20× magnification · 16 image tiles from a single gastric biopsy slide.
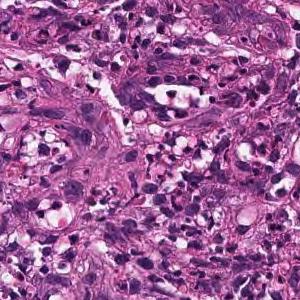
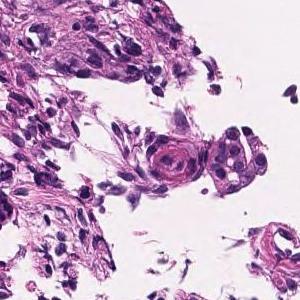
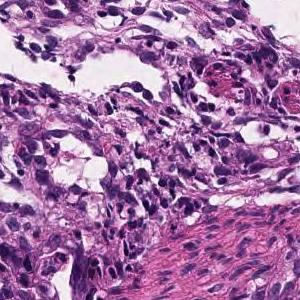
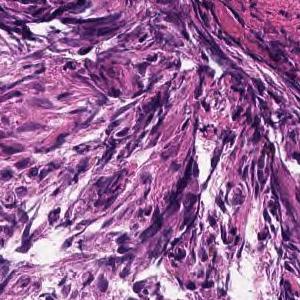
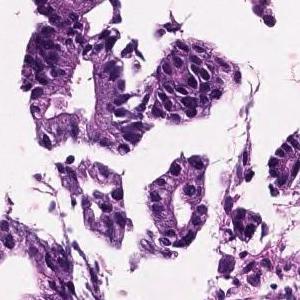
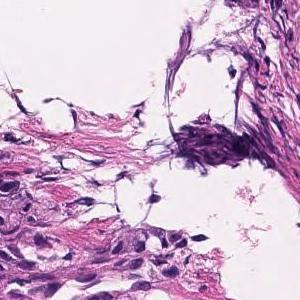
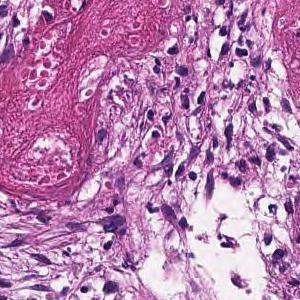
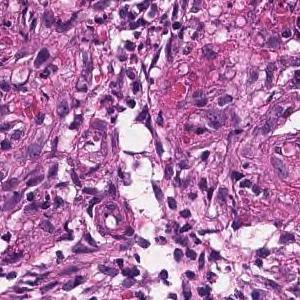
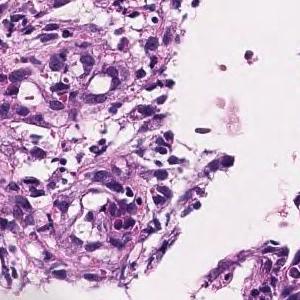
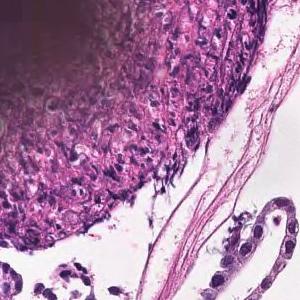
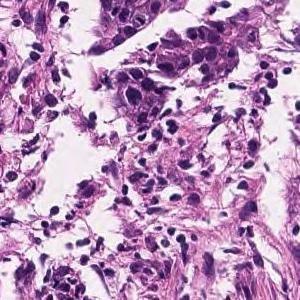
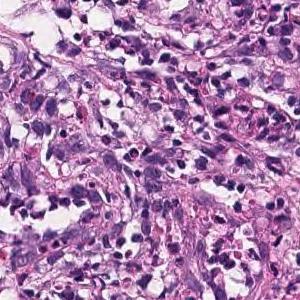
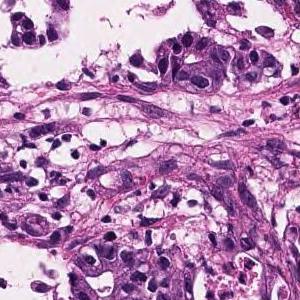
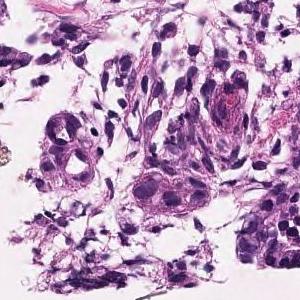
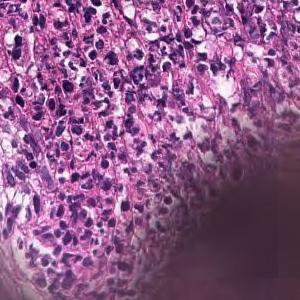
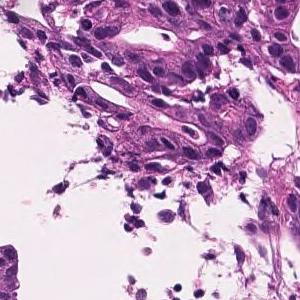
Pathology report for the biopsy slide these tiles were cut from. The report and the diagnosis cover the entire slide, so not every feature they name need be visible here, and some tissue shown may not be tumor.
In the superficial epithelium, medium to small, irregular gland ducts are formed, and in some cases, the gland ducts are fused to show solid alveolar lesions and infiltrating tumor tissue is observed. Moderately to poorly differentiated adenocarcinoma.
